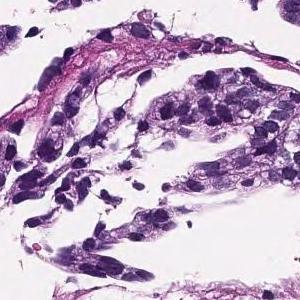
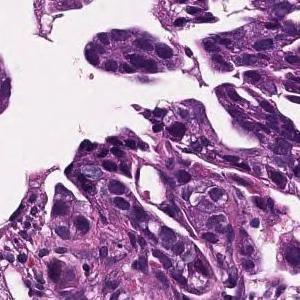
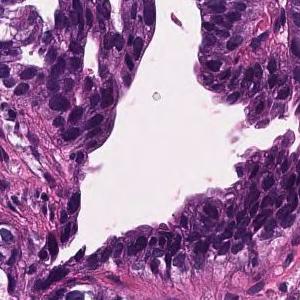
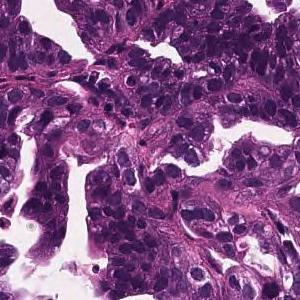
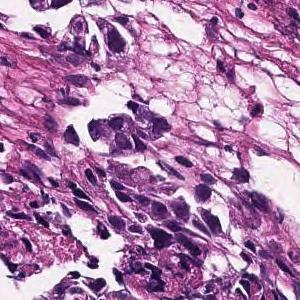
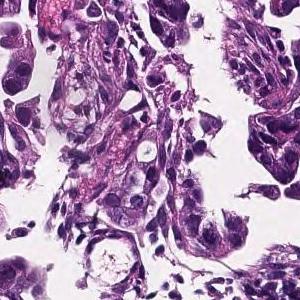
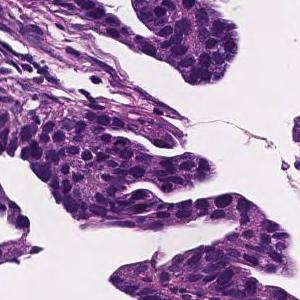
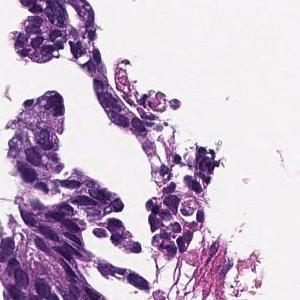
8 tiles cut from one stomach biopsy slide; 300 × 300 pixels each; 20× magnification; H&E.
Report on the slide these tiles come from. The findings and the diagnosis refer to the entire slide; these tiles show only part of it, possibly with non-tumor tissue, and may not show every feature named.
In the lamina propria, tumor tissue that invades by forming medium-sized to small, irregular glandular ducts is observed. moderately differentiated tubular adenocarcinoma
